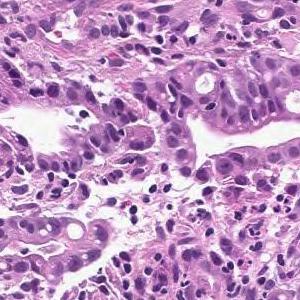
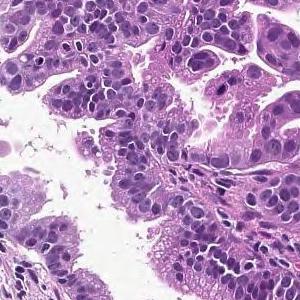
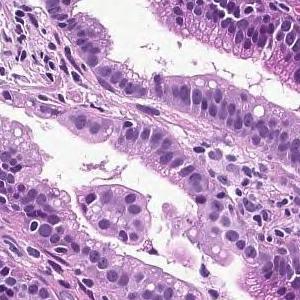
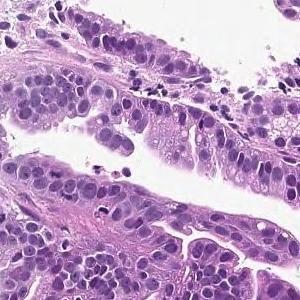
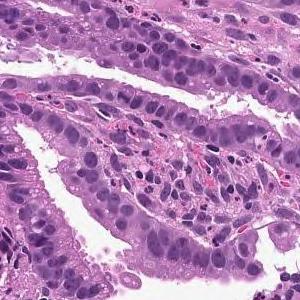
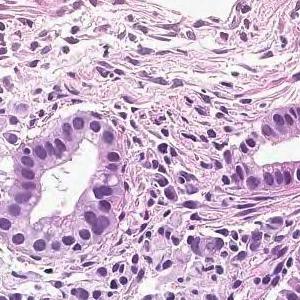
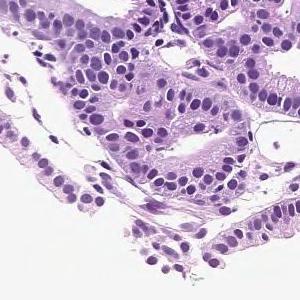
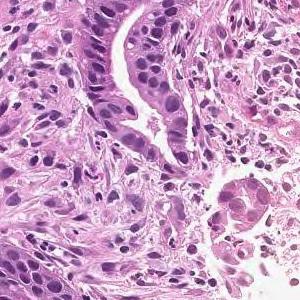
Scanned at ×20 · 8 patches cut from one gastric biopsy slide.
Pathology report for the biopsy slide these tiles were cut from. Both the report and the diagnosis are for the whole slide: these tiles need not show every feature named, and some of the tissue shown may not be tumor.
On the superficial epithelium, tumor tissue that infiltrates by forming medium-sized papillary or small irregular ducts is observed. Papillary adenocarcinoma
